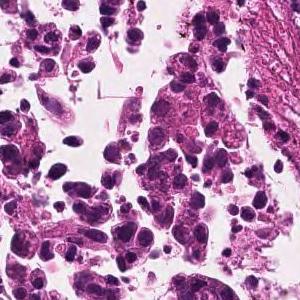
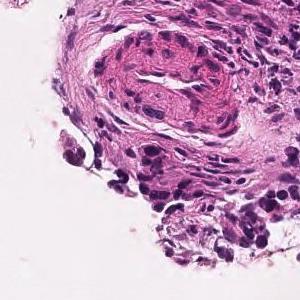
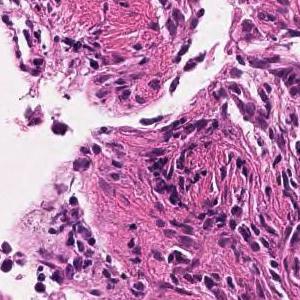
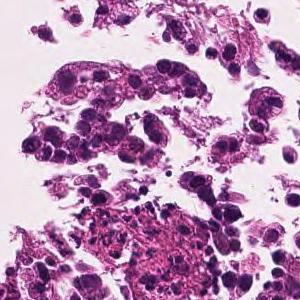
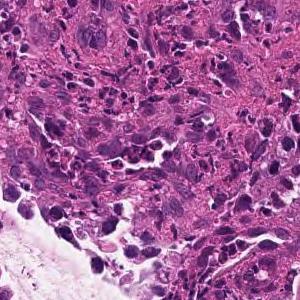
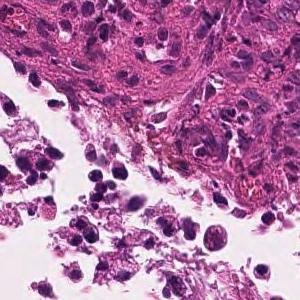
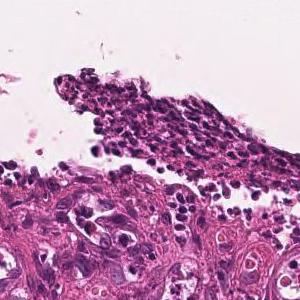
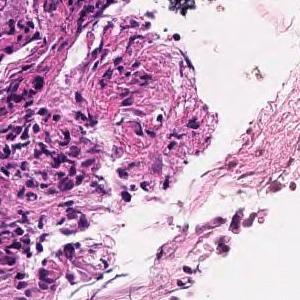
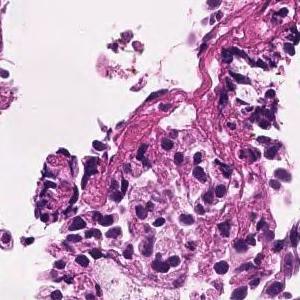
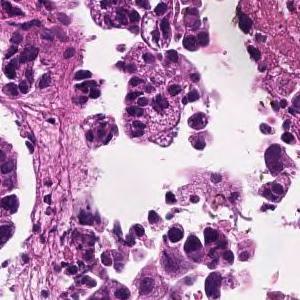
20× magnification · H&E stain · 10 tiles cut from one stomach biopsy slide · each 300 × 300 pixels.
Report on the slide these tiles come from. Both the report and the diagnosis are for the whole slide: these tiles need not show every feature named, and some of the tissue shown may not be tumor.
In the superficial epithelium, tumor tissue that invades by forming medium-sized to small, irregular ducts is observed. moderately differentiated tubular adenocarcinoma.
